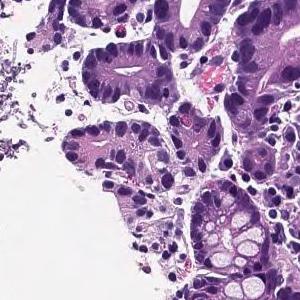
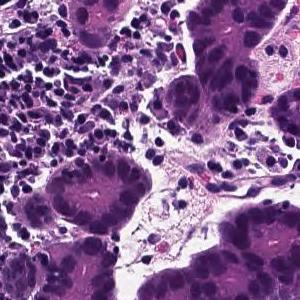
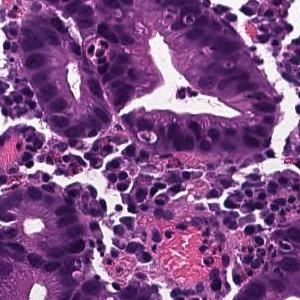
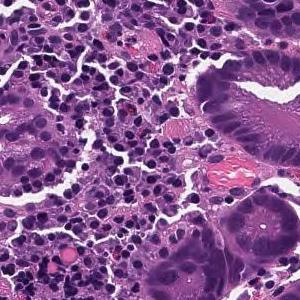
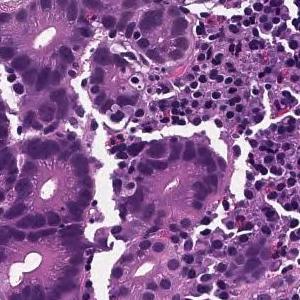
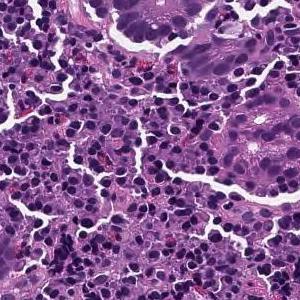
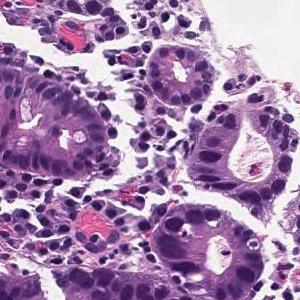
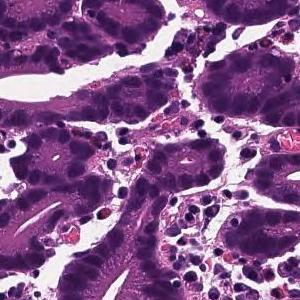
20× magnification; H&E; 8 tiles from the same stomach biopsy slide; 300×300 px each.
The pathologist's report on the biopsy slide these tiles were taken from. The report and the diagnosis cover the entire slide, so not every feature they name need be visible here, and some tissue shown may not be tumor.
Cancer cells with strongly atypical nuclei grow while forming ducts showing lumens of various sizes. moderately differentiated tubular adenocarcinoma
